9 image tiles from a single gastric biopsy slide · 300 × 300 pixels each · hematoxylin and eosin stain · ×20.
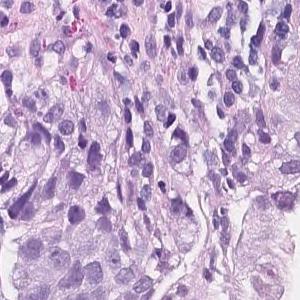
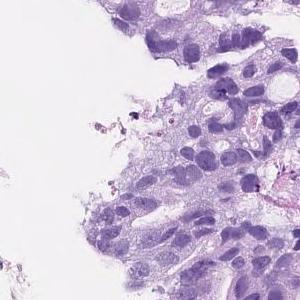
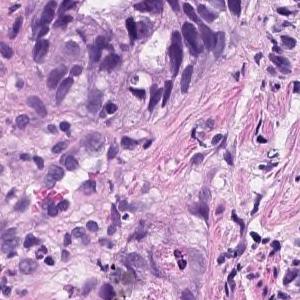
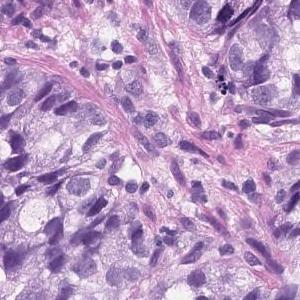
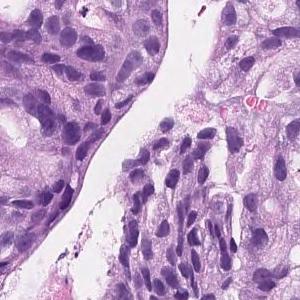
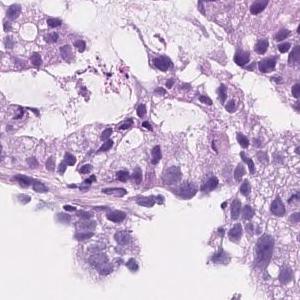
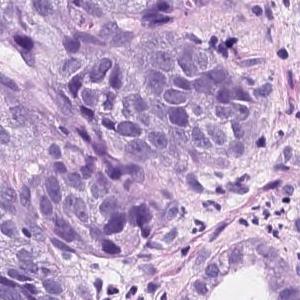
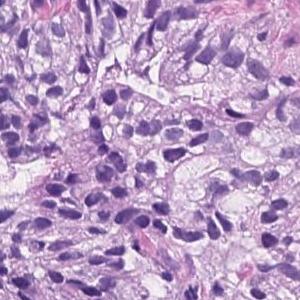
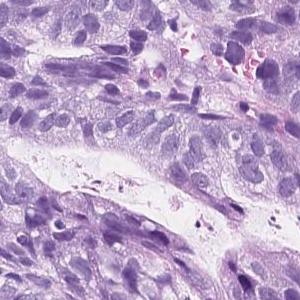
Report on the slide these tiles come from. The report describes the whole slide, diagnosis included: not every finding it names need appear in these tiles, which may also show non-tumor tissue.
On the superficial epithelium, tumor tissue consisting of an image of large, irregular glandular ducts partially fused and infiltrated is observed. Well to moderately differentiated tubular adenocarcinoma
